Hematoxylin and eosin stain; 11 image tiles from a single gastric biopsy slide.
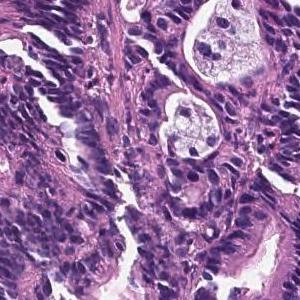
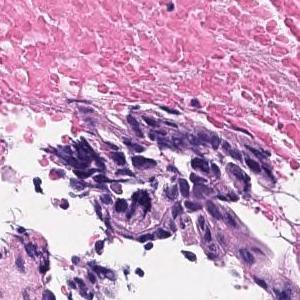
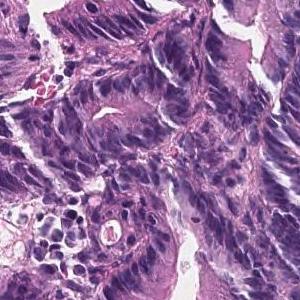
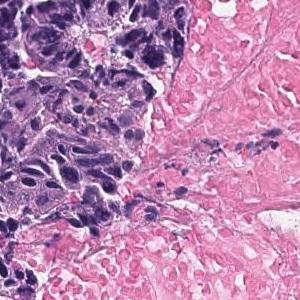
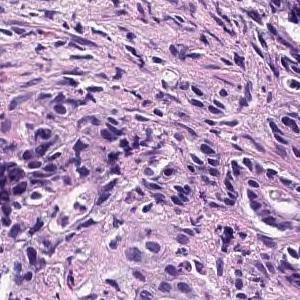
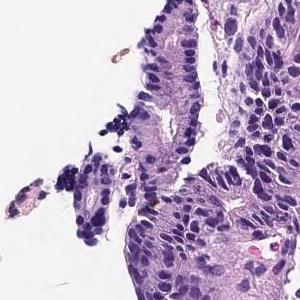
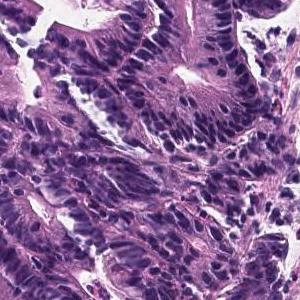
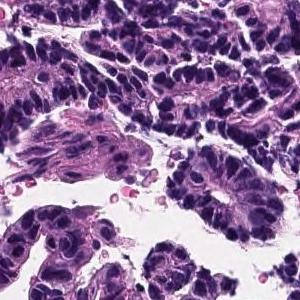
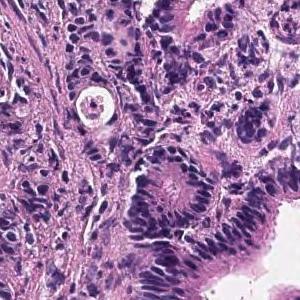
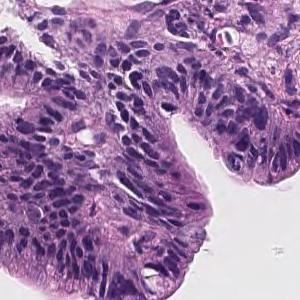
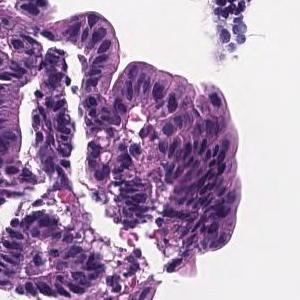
The pathologist's report on the biopsy slide these tiles were taken from. Both the report and the diagnosis are for the whole slide: these tiles need not show every feature named, and some of the tissue shown may not be tumor.
In the superficial epithelium, tumor tissue that invades by forming medium-sized to small, irregular ducts is observed. Moderately differentiated adenocarcinoma.
Classified as moderately differentiated tubular adenocarcinoma.
